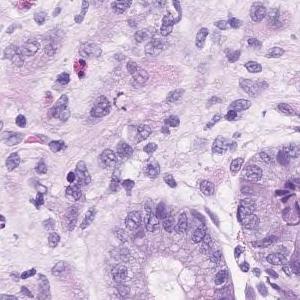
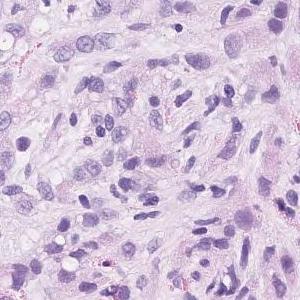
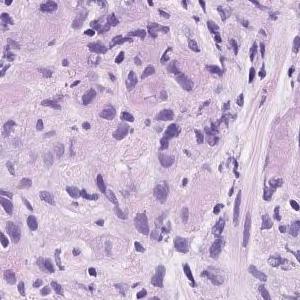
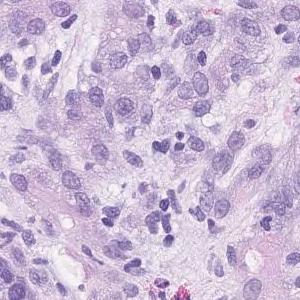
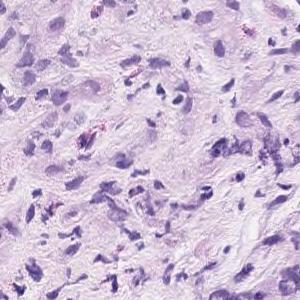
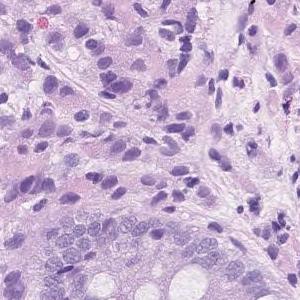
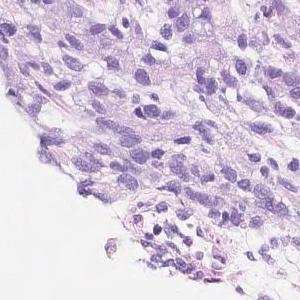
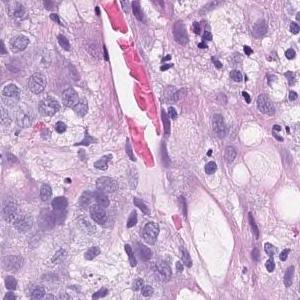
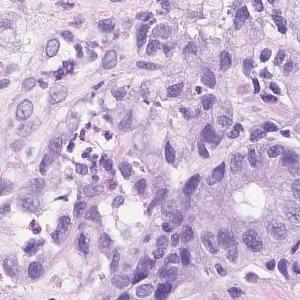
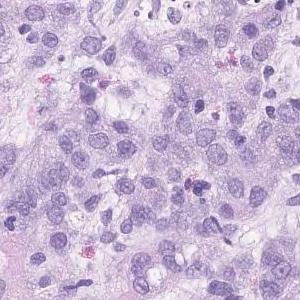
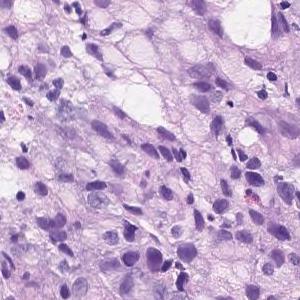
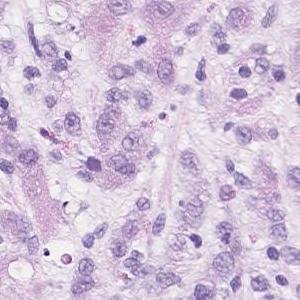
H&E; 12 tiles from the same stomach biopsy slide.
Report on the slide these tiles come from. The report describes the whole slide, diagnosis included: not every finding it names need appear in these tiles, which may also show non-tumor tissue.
Group 5, Adenocarcinoma. Poorly differentiated adenocarcinoma, non-solid type
"Non-solid type" is a category of the Japanese Classification of Gastric Carcinoma.
